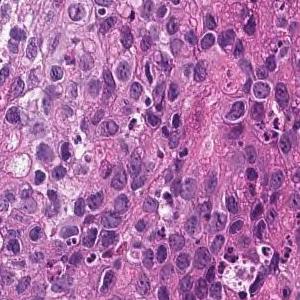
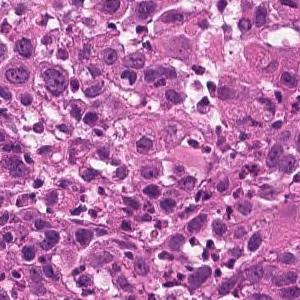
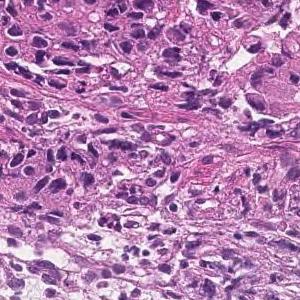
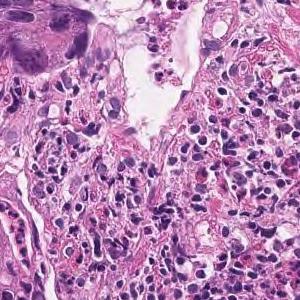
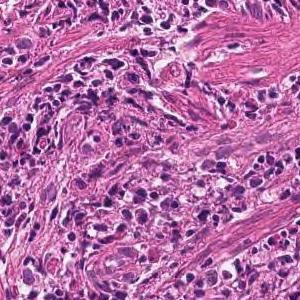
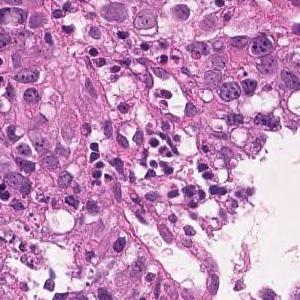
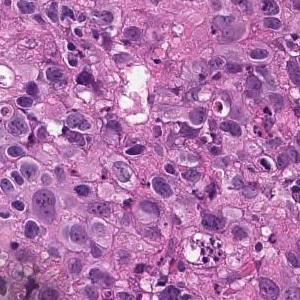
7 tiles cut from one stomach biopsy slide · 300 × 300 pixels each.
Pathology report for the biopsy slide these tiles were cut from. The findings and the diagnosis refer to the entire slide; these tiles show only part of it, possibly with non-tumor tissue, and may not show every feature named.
The superficial epithelium shows a large sheet-like shape, and some tumor tissue infiltrates with small irregular ducts. Poorly differentiated adenocarcinoma, solid-type
Histological subtype: Poorly differentiated adenocarcinoma, solid type, a category of the Japanese Classification of Gastric Carcinoma; in the WHO 2019 classification it is tubular adenocarcinoma, poorly differentiated.
